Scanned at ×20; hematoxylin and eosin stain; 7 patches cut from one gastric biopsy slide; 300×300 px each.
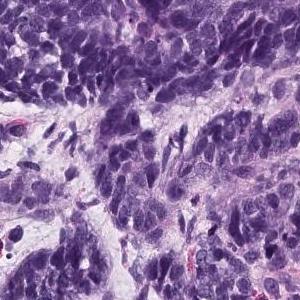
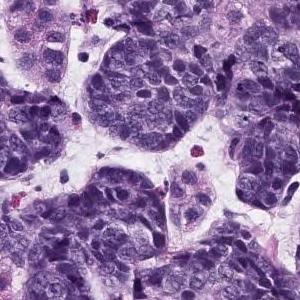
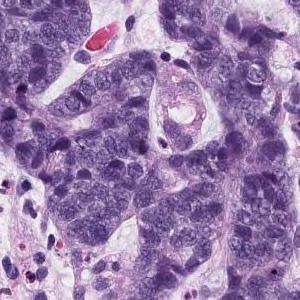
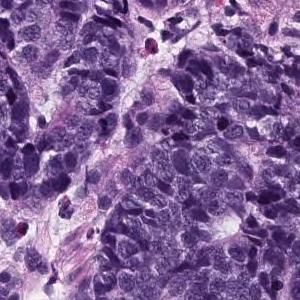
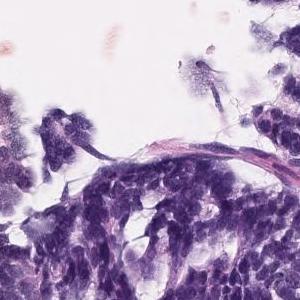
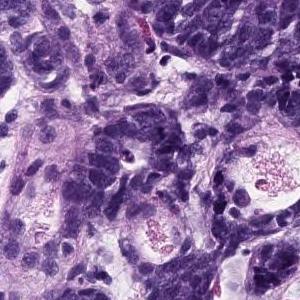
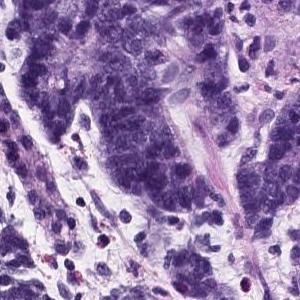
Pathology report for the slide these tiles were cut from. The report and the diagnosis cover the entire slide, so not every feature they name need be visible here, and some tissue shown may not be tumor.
Group 5, Adenocarcinoma. Moderately to poorly differentiated adenocarcinoma
